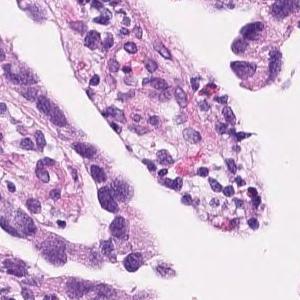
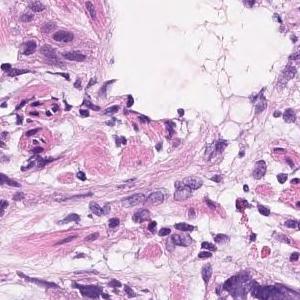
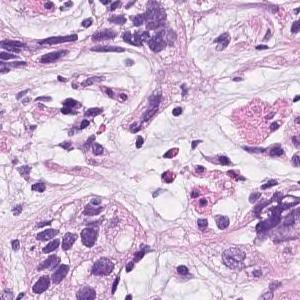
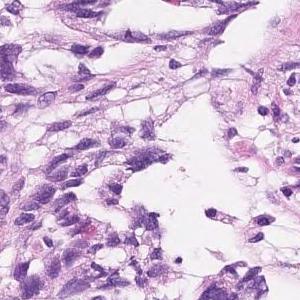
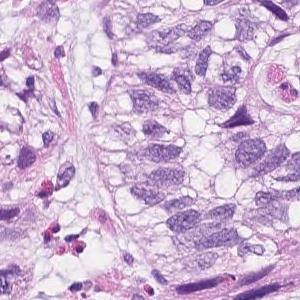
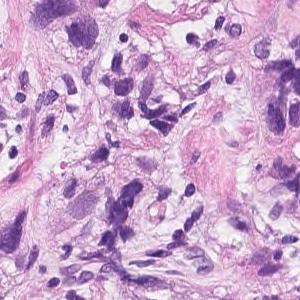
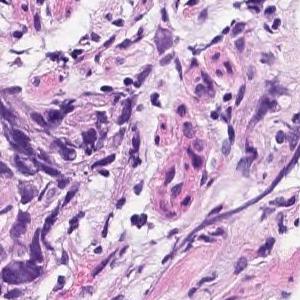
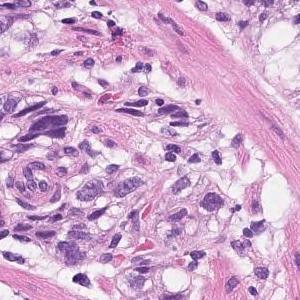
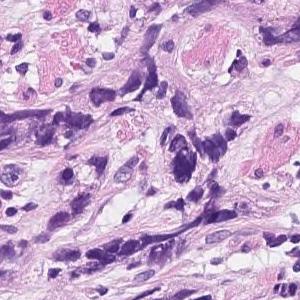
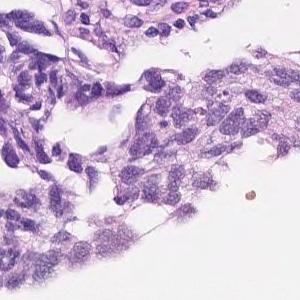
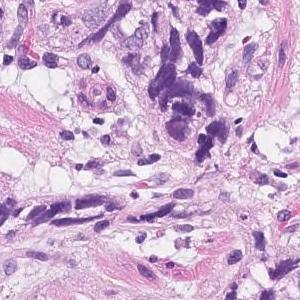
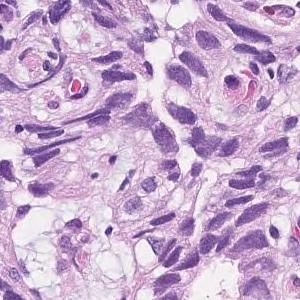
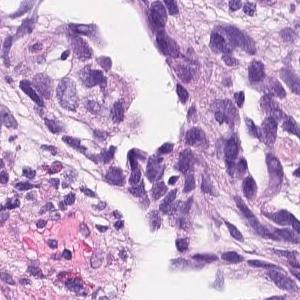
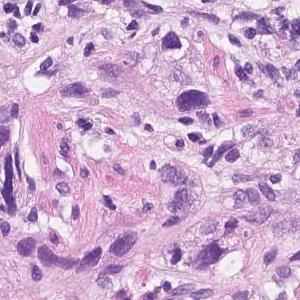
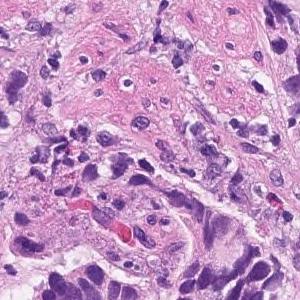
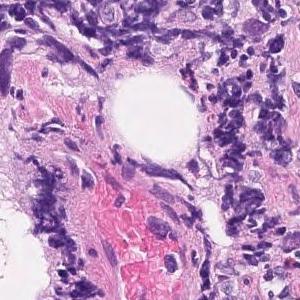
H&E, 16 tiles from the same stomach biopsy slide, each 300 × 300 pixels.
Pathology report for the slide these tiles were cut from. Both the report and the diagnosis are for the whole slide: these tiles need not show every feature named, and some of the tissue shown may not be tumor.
In the superficial epithelium, tumor tissue that invades by forming medium-sized to small, irregular ducts is observed. Moderately differentiated adenocarcinoma.
Histological subtype: Moderately differentiated tubular adenocarcinoma.
